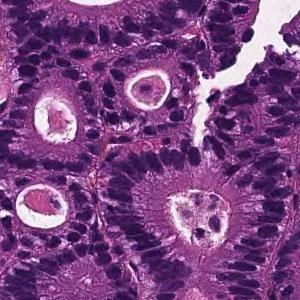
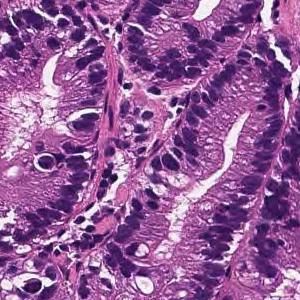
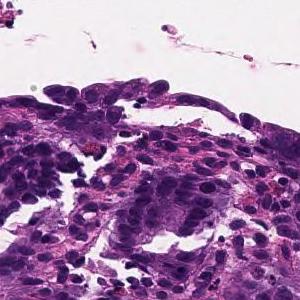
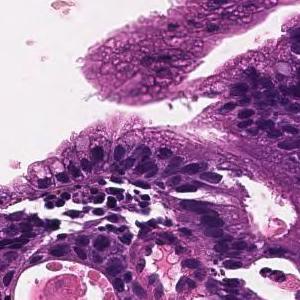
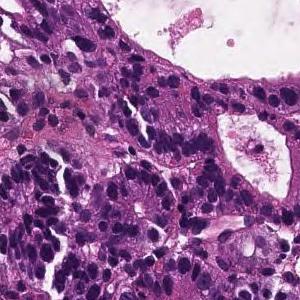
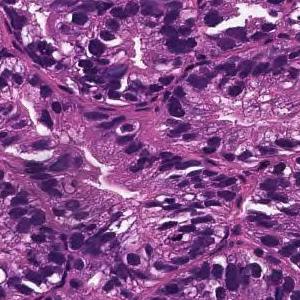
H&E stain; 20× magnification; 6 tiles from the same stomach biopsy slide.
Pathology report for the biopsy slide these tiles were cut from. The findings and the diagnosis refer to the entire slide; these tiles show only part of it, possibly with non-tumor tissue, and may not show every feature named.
From the superficial epithelium to the muscularis mucosae, tumor tissue consisting of medium-sized and irregular glandular ducts infiltrating is observed. Well differentiated tubular adenocarcinoma
